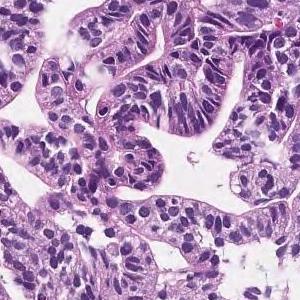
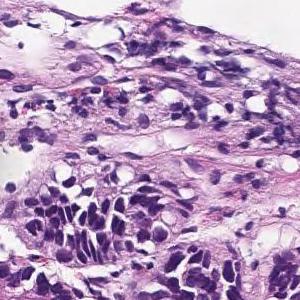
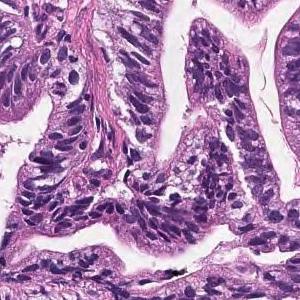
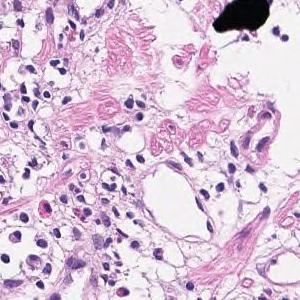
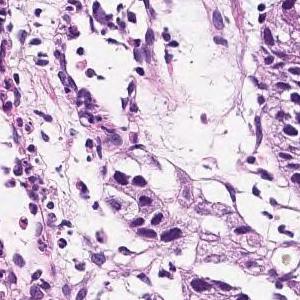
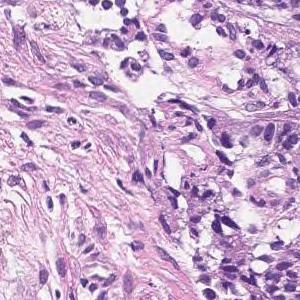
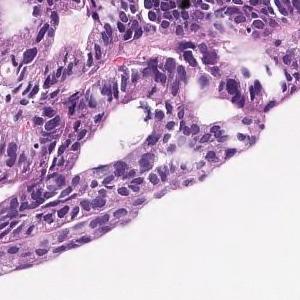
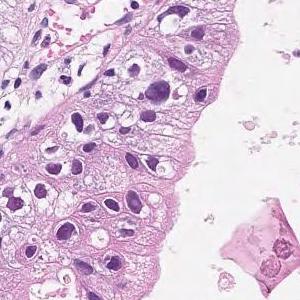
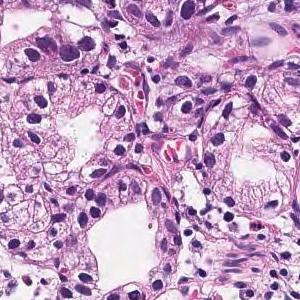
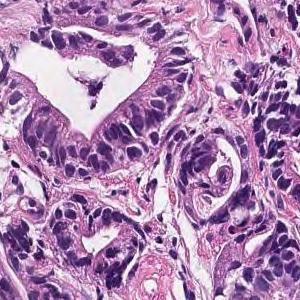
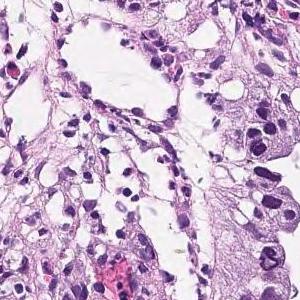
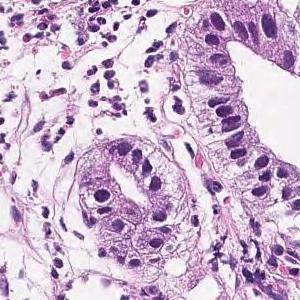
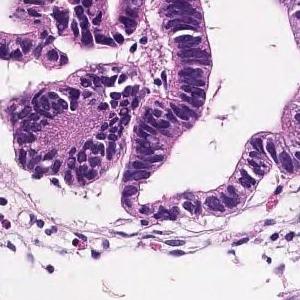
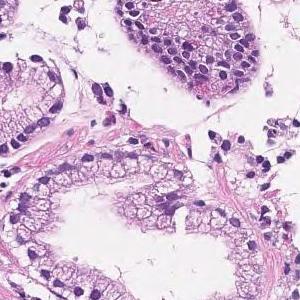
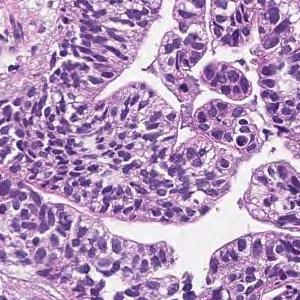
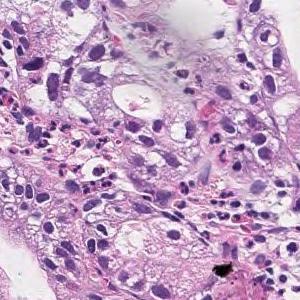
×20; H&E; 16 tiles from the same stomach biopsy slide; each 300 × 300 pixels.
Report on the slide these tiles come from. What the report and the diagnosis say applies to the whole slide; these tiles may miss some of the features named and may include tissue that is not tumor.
In the superficial epithelium, tumor tissue that invades by forming medium-sized to small, irregular ducts is observed. Moderately differentiated adenocarcinoma.
Classified as moderately differentiated tubular adenocarcinoma.
